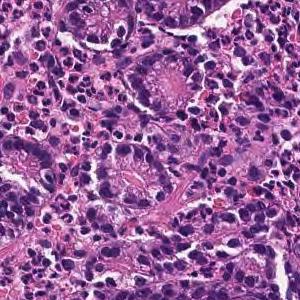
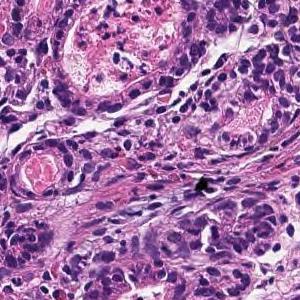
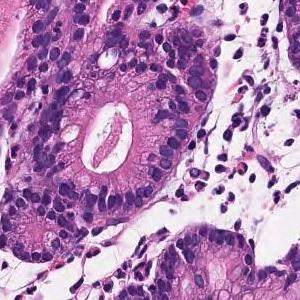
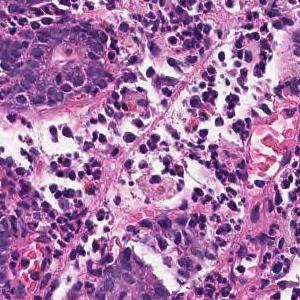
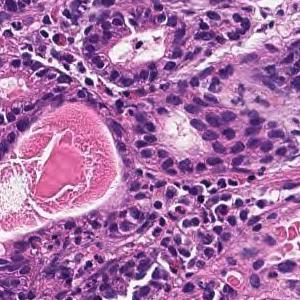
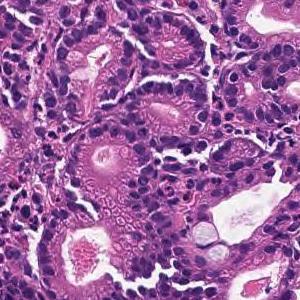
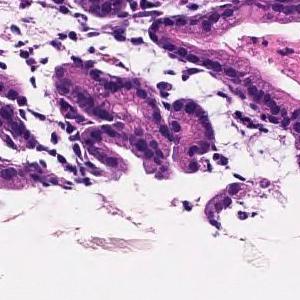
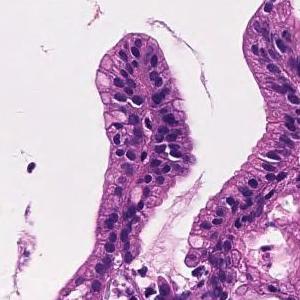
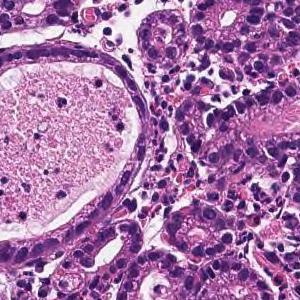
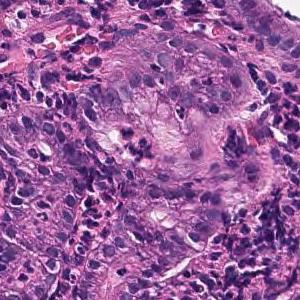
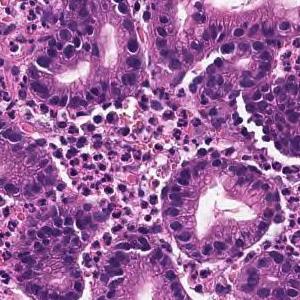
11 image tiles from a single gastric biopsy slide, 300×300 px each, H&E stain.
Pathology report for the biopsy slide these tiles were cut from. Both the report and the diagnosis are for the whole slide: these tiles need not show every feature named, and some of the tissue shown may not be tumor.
Tumor tissue infiltrated and proliferated with small to medium-sized irregular tubules is observed in the superficial epithelium. Well differentiated tubular adenocarcinoma
